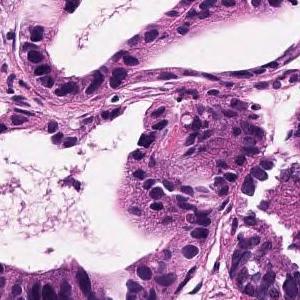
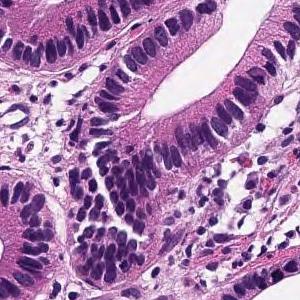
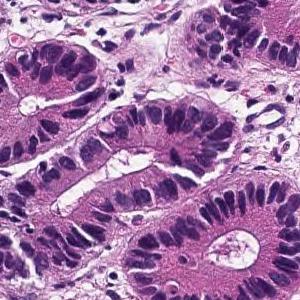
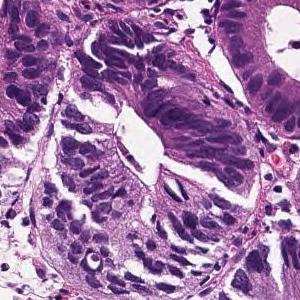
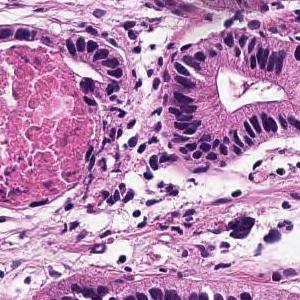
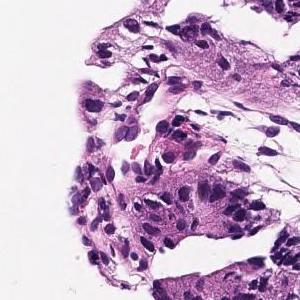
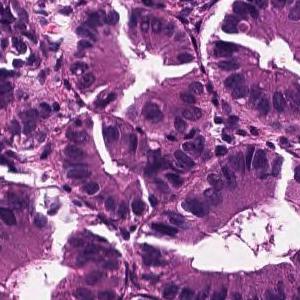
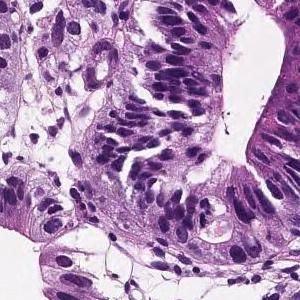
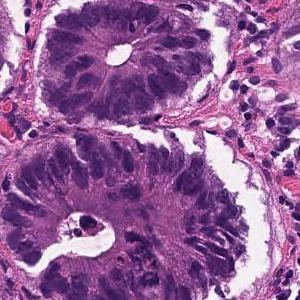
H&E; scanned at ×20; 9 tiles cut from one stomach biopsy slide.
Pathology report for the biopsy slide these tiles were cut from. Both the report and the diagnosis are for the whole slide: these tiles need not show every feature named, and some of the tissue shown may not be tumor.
Atypical epithelial cells form glandular cavities and proliferate. Well differentiated tubular adenocarcinoma
